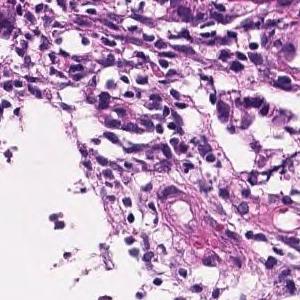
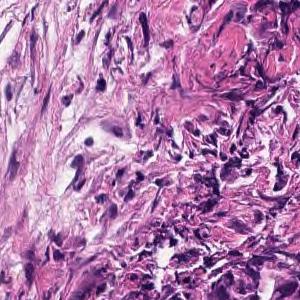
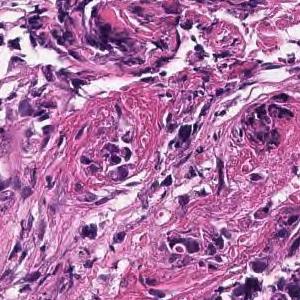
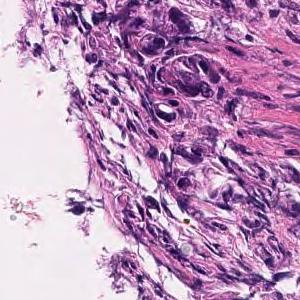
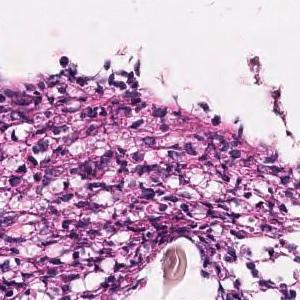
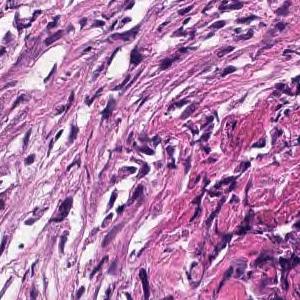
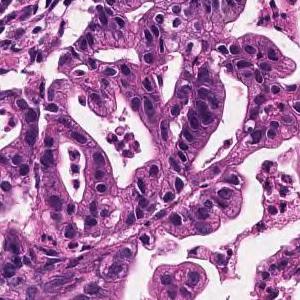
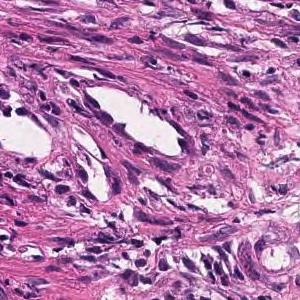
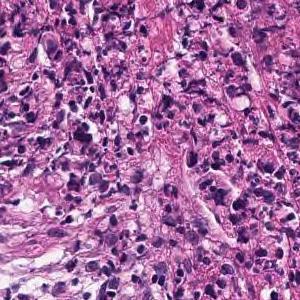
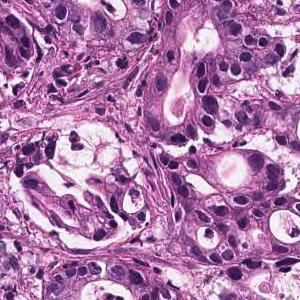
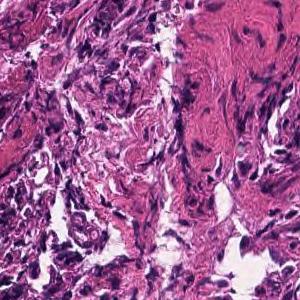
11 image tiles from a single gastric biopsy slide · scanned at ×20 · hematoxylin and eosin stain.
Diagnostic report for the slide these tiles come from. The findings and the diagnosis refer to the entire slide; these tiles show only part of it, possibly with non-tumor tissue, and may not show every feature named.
In the superficial epithelium, medium to small, irregular gland ducts are formed, and in some cases, the gland ducts are fused to show solid alveolar lesions and infiltrating tumor tissue is observed. Moderately to poorly differentiated adenocarcinoma.
